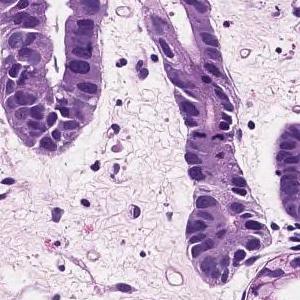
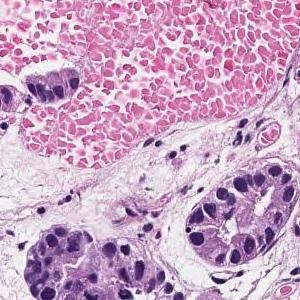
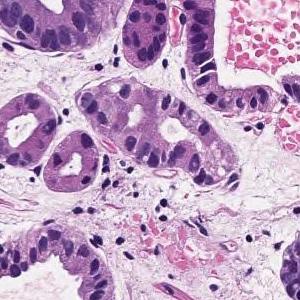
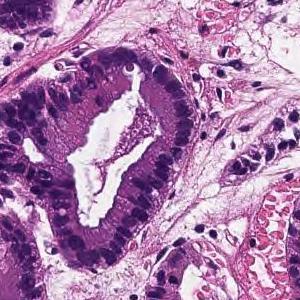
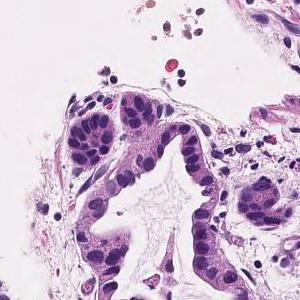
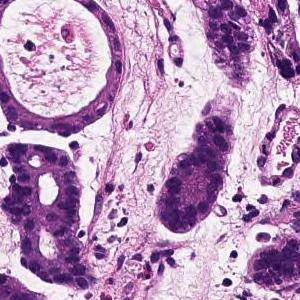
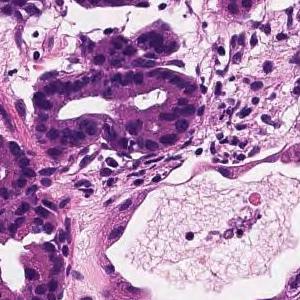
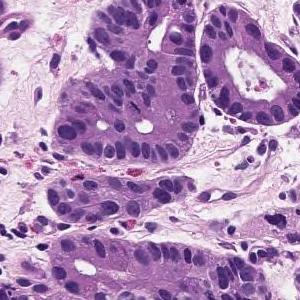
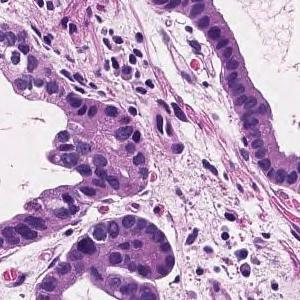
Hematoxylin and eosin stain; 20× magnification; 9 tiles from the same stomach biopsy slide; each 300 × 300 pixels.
Pathology report for the slide these tiles were cut from. What the report and the diagnosis say applies to the whole slide; these tiles may miss some of the features named and may include tissue that is not tumor.
Tumor cells are large, highly columnar, large club-shaped nuclei, and are associated with chromatin aggregation. Papillary adenocarcinoma.
